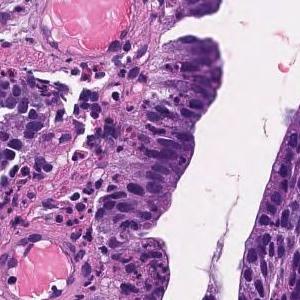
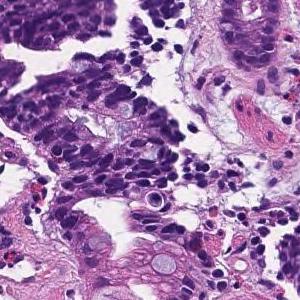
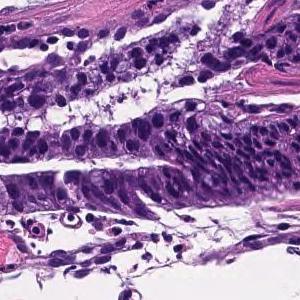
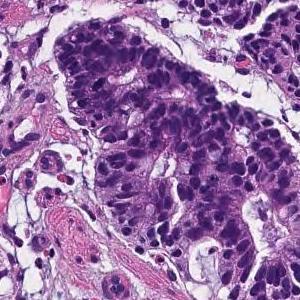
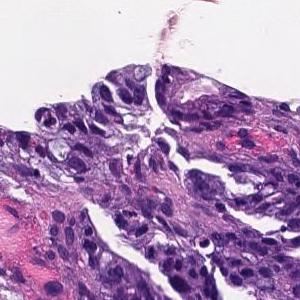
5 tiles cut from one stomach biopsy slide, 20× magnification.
Report on the slide these tiles come from. The report describes the whole slide, diagnosis included: not every finding it names need appear in these tiles, which may also show non-tumor tissue.
Tumor cells are large, highly columnar, large club-shaped nuclei, and are associated with chromatin aggregation. Papillary adenocarcinoma.
